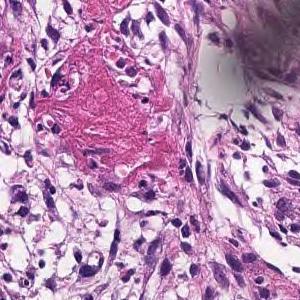
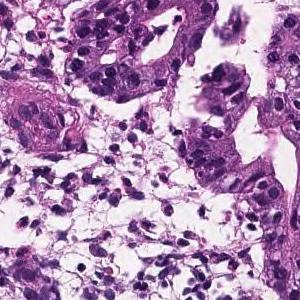
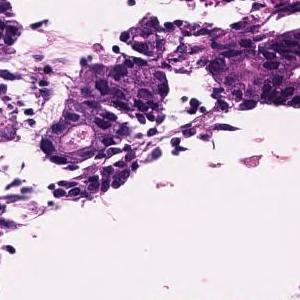
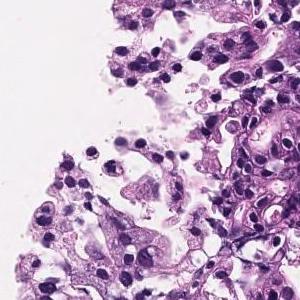
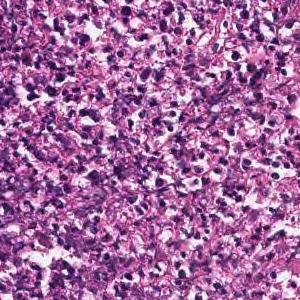
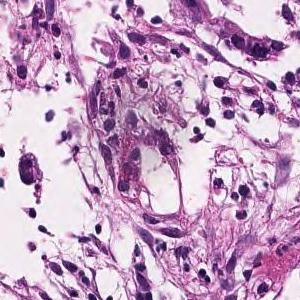
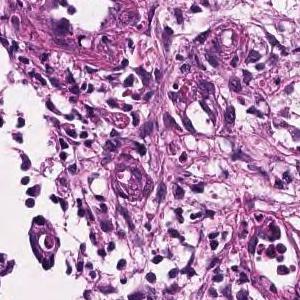
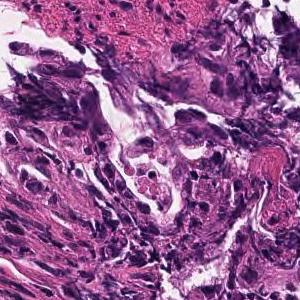
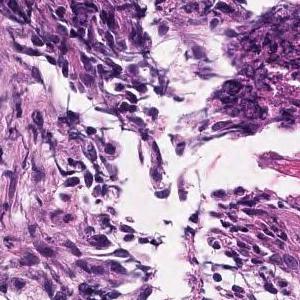
9 image tiles from a single gastric biopsy slide.
Report on the slide these tiles come from. The findings and the diagnosis refer to the entire slide; these tiles show only part of it, possibly with non-tumor tissue, and may not show every feature named.
In the superficial epithelium, medium to small, irregular gland ducts are formed, and in some cases, the gland ducts are fused to show solid alveolar lesions and infiltrating tumor tissue is observed. Moderately to poorly differentiated adenocarcinoma.
